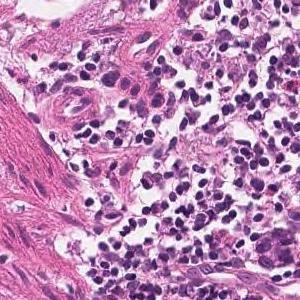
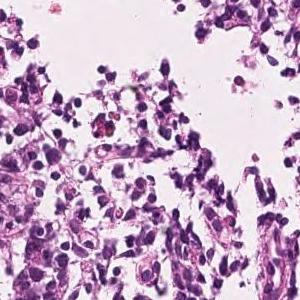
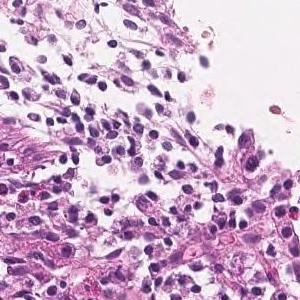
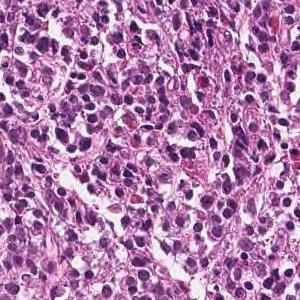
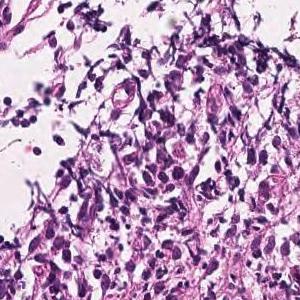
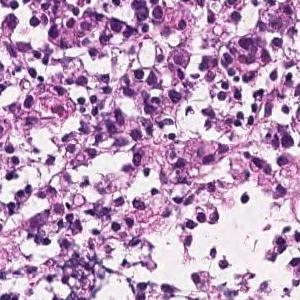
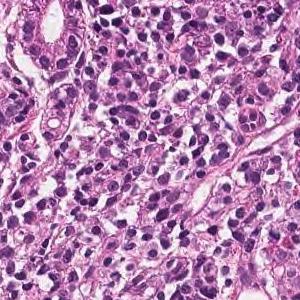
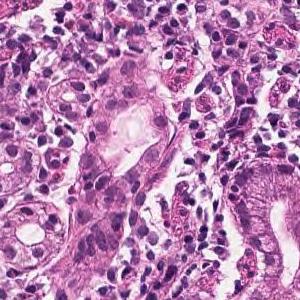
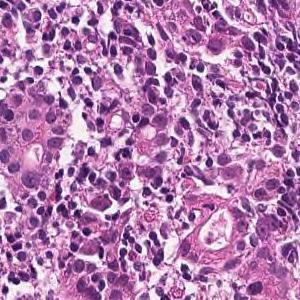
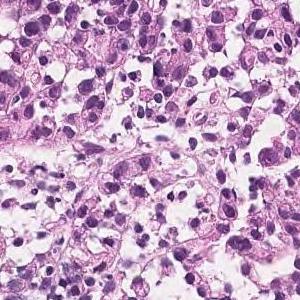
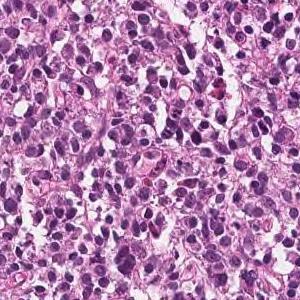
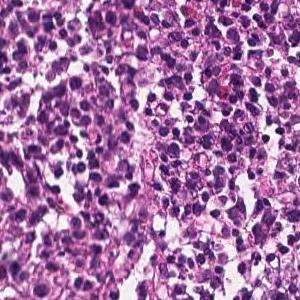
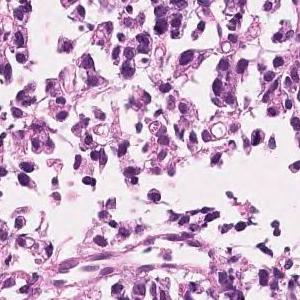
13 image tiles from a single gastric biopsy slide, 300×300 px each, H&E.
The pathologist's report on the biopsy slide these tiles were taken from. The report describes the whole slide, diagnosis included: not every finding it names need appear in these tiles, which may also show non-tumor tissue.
Tumor tissue consisting of cord-like or small, irregular glandular ducts fused and infiltrated is observed in the superficial epithelium. Poorly differentiated adenocarcinoma, non-solid type
The term "non-solid type" comes from the Japanese Classification of Gastric Carcinoma.
